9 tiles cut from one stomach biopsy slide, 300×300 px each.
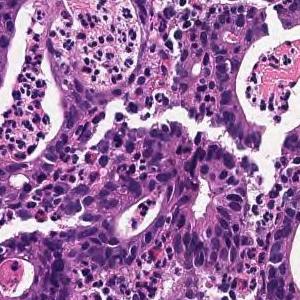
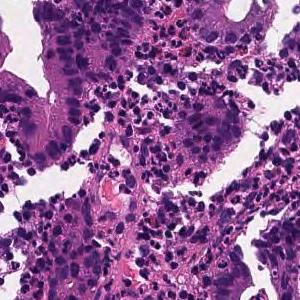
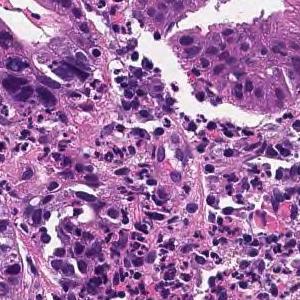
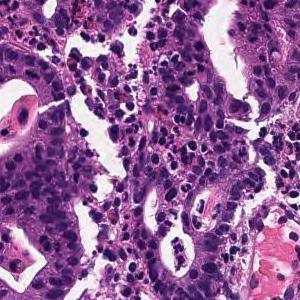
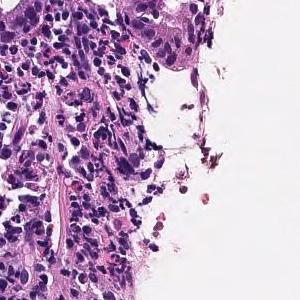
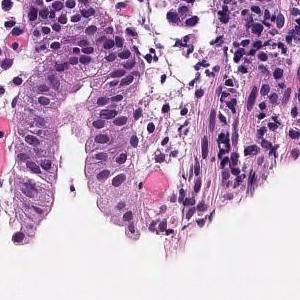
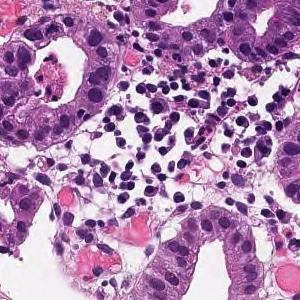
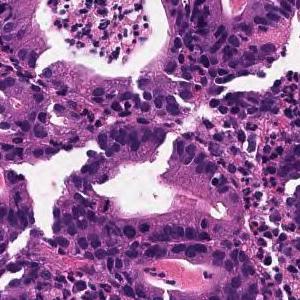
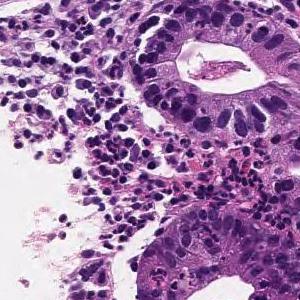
Pathology report for the slide these tiles were cut from. The findings and the diagnosis refer to the entire slide; these tiles show only part of it, possibly with non-tumor tissue, and may not show every feature named.
In the superficial epithelium, tumor tissue that invades by forming medium-sized to small, irregular ducts is observed. moderately differentiated tubular adenocarcinoma.
